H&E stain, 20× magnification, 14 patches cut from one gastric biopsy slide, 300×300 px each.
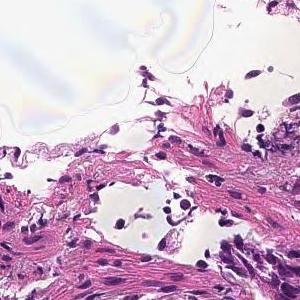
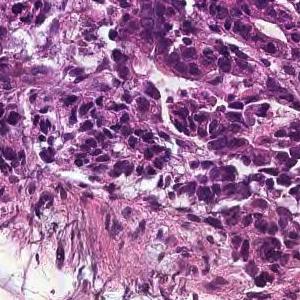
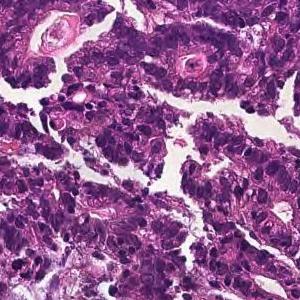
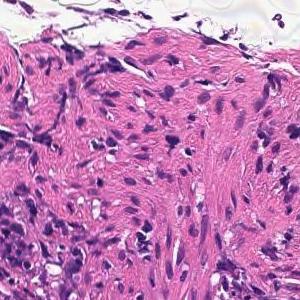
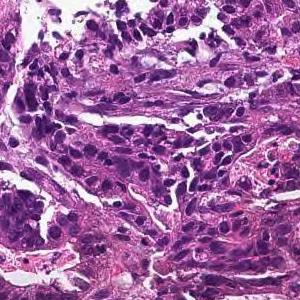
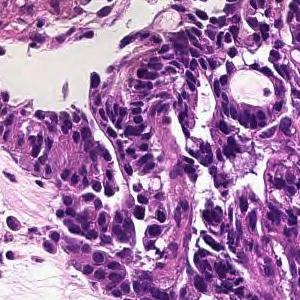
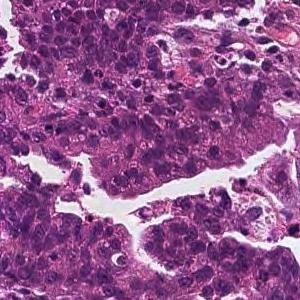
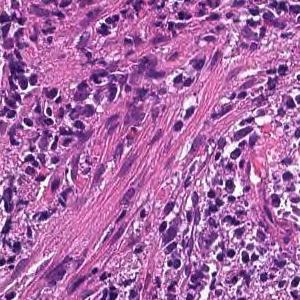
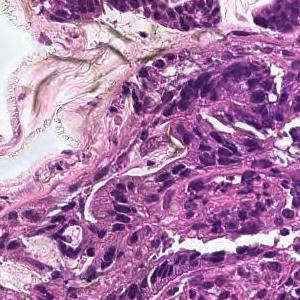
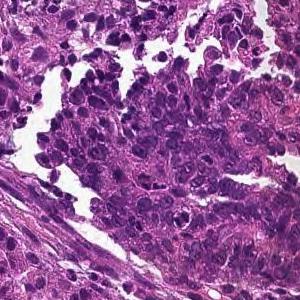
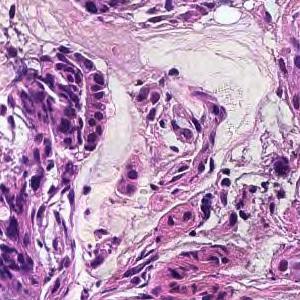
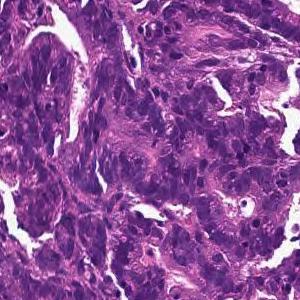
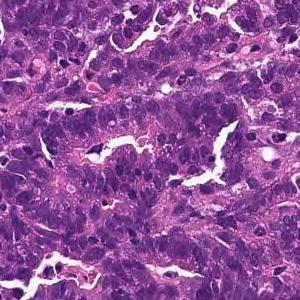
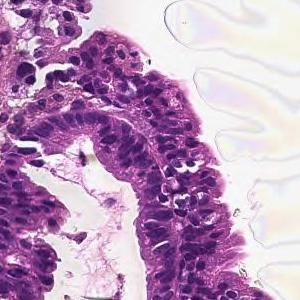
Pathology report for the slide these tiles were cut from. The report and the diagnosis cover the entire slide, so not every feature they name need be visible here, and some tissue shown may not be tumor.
In the superficial epithelium, tumor tissue that invades by forming medium-sized to small, irregular ducts is observed. moderately differentiated tubular adenocarcinoma.
